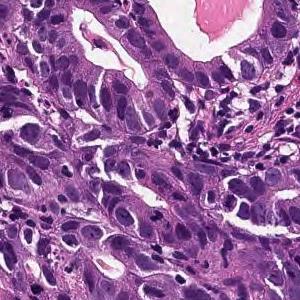
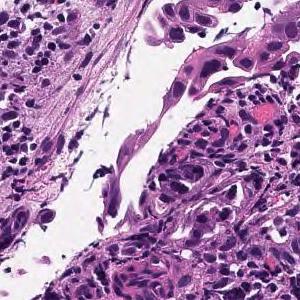
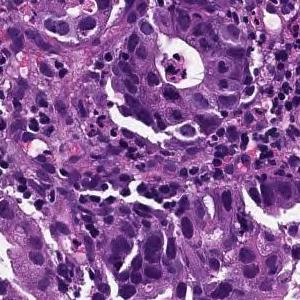
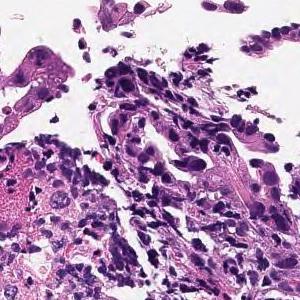
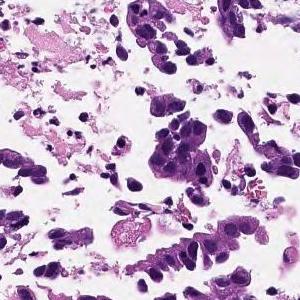
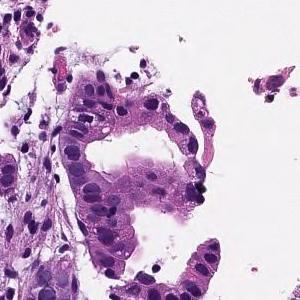
6 image tiles from a single gastric biopsy slide; 300 × 300 pixels each.
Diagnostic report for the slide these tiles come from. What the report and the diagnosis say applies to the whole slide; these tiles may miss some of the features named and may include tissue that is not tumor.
In the superficial epithelium, tumor tissue that invades by forming medium-sized to small, irregular ducts is observed. moderately differentiated tubular adenocarcinoma.
